H&E stain · 8 image tiles from a single gastric biopsy slide · each 300 × 300 pixels.
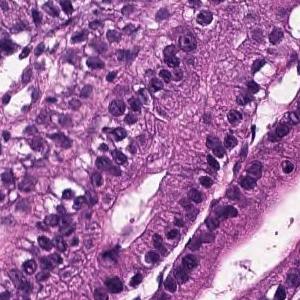
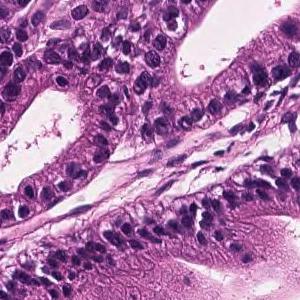
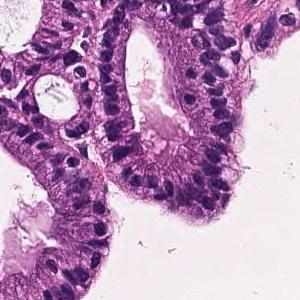
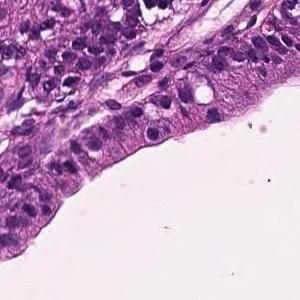
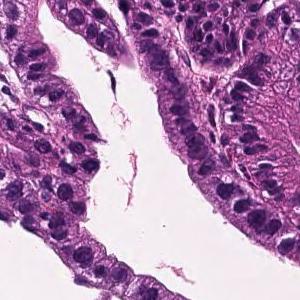
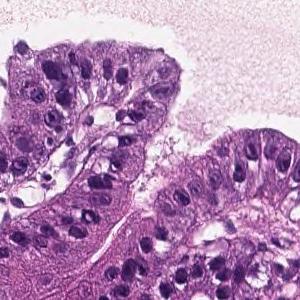
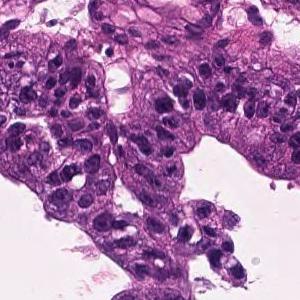
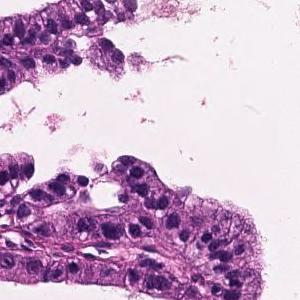
Diagnostic report for the slide these tiles come from. Both the report and the diagnosis are for the whole slide: these tiles need not show every feature named, and some of the tissue shown may not be tumor.
On the superficial epithelium, tumor tissue that infiltrates by forming medium-sized papillary or small irregular ducts is observed. Papillary adenocarcinoma
